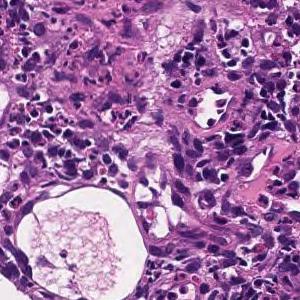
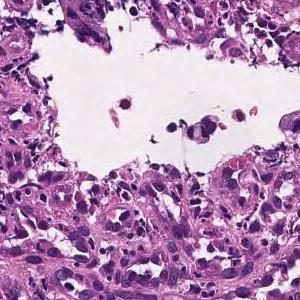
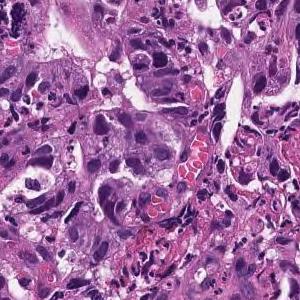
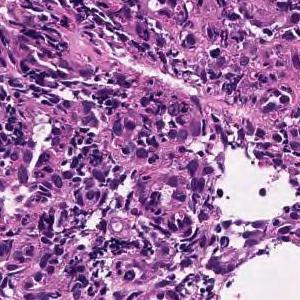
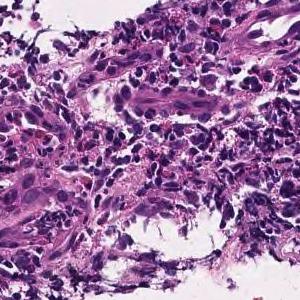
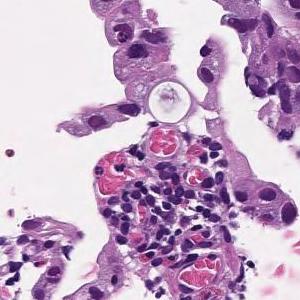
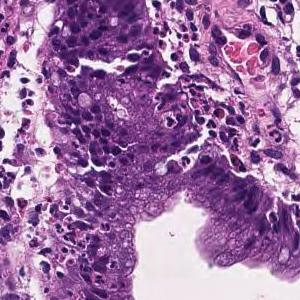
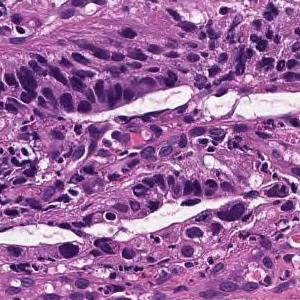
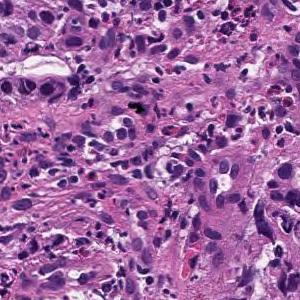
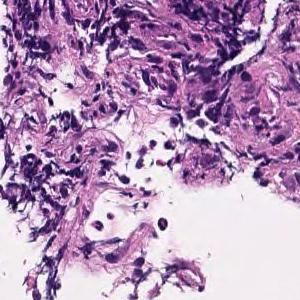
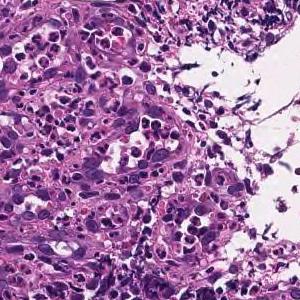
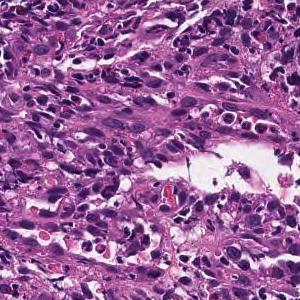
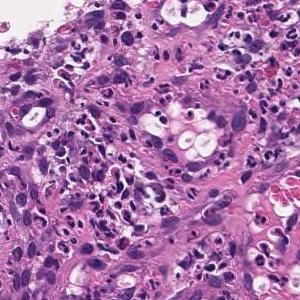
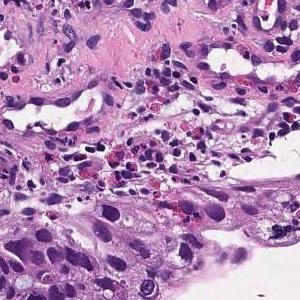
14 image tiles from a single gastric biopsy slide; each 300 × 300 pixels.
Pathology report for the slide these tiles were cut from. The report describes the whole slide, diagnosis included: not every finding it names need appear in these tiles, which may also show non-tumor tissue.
In the superficial epithelium, tumor tissue that invades by forming medium-sized to small, irregular ducts is observed. moderately differentiated tubular adenocarcinoma.
